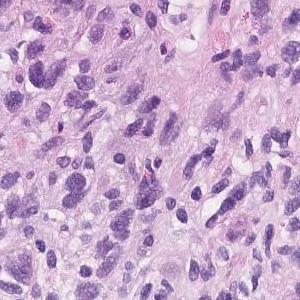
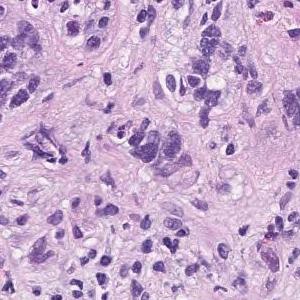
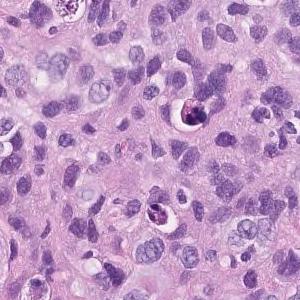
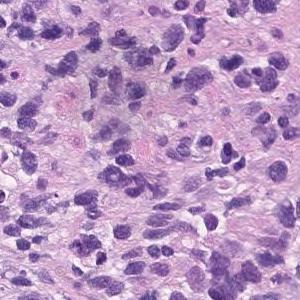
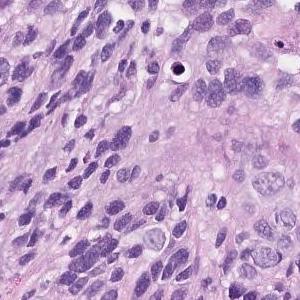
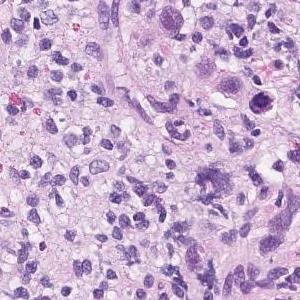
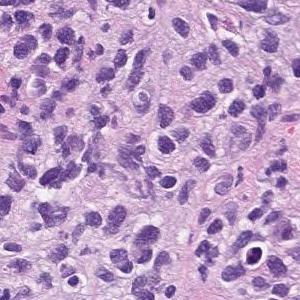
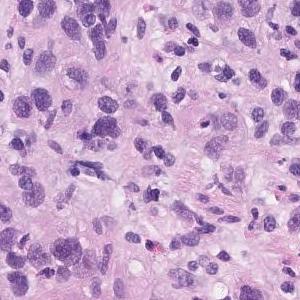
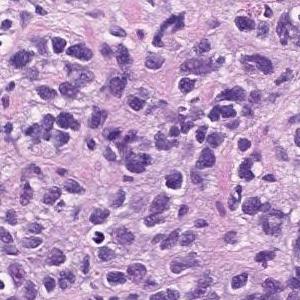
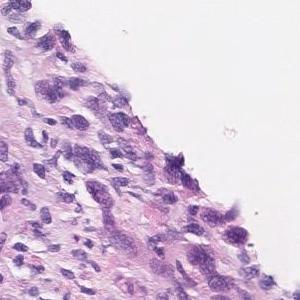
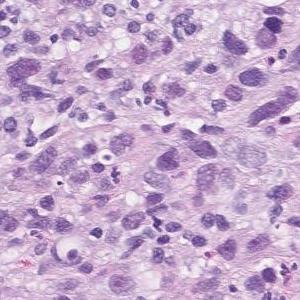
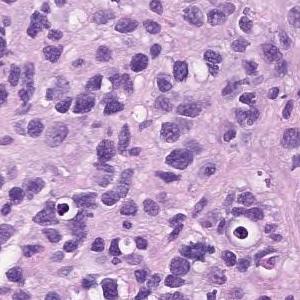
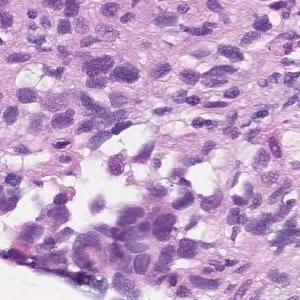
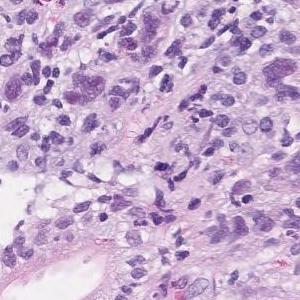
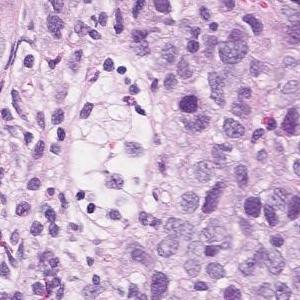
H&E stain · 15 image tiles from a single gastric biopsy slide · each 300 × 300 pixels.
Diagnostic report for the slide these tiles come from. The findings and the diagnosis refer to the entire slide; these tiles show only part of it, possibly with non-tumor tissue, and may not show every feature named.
Atypical l cells with atypical nuclei under the mucosa growing in isolation and scattered. Poorly differentiated adenocarcinoma (poorly differentiated adenocarcinoma, non-solid type)
Histologic type: Poorly differentiated adenocarcinoma, non-solid type.
The term "non-solid type" comes from the Japanese Classification of Gastric Carcinoma.
